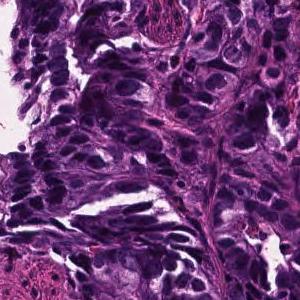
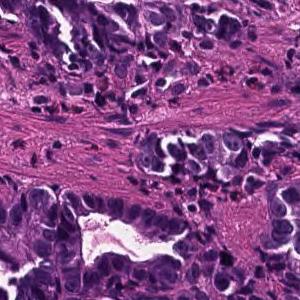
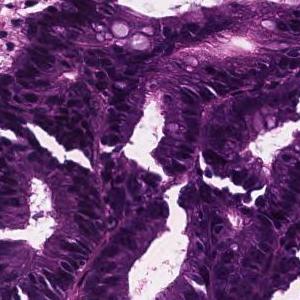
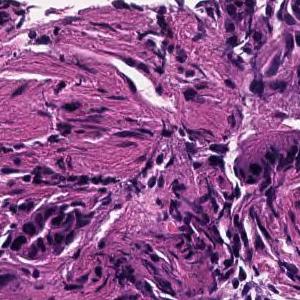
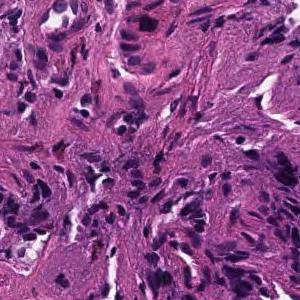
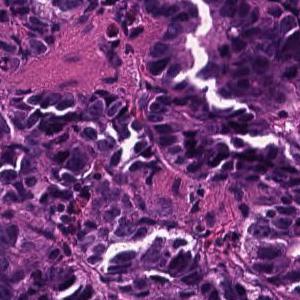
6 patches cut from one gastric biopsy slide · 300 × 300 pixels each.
Report on the slide these tiles come from. The report and the diagnosis cover the entire slide, so not every feature they name need be visible here, and some tissue shown may not be tumor.
In the superficial epithelium, tumor tissue that invades by forming medium-sized to small, irregular ducts is observed. moderately differentiated tubular adenocarcinoma.
